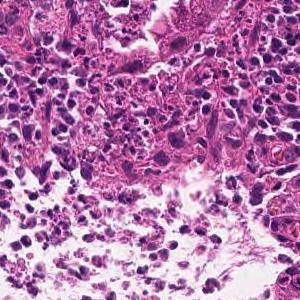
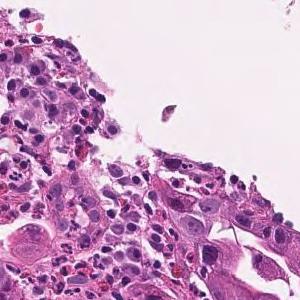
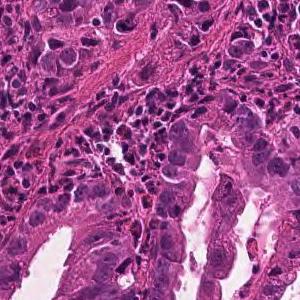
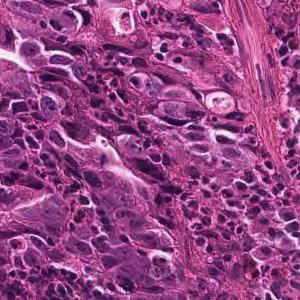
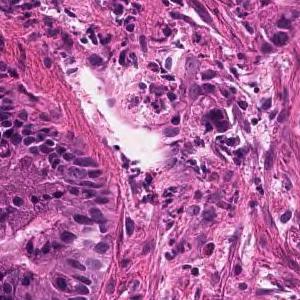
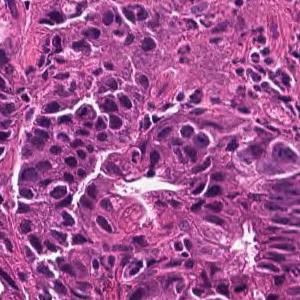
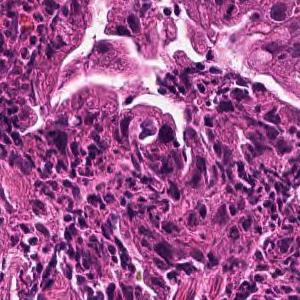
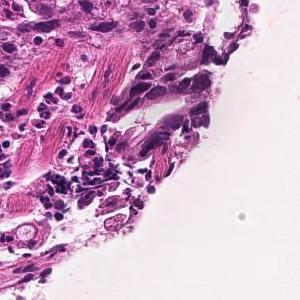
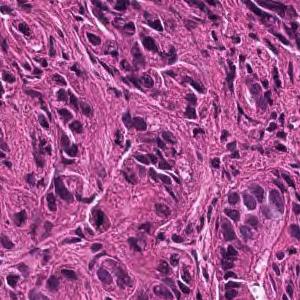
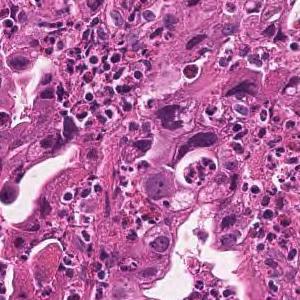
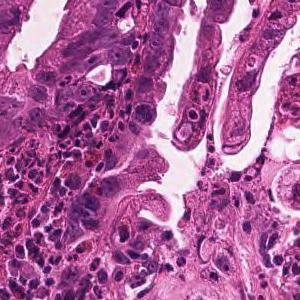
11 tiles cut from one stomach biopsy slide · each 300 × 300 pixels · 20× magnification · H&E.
Pathology report for the slide these tiles were cut from. Both the report and the diagnosis are for the whole slide: these tiles need not show every feature named, and some of the tissue shown may not be tumor.
Medium to small, irregular glandular ducts are formed in the superficial epithelium, and in some cases, the glandular ducts are fused to show solid alveolar lesions and infiltrating tumor tissue is observed. Moderately to poorly differentiated adenocarcinoma.
